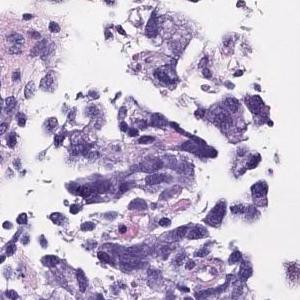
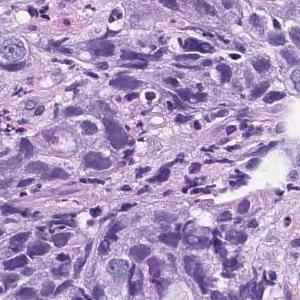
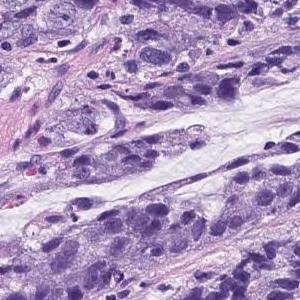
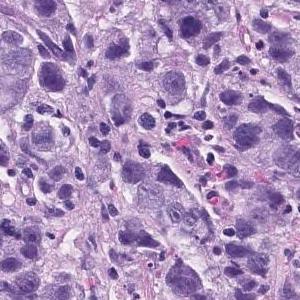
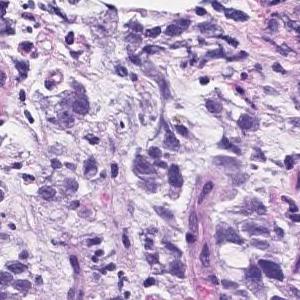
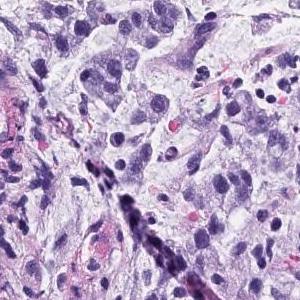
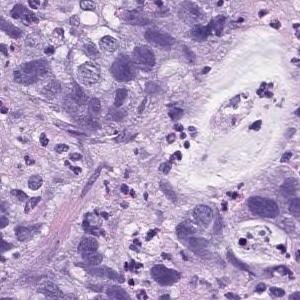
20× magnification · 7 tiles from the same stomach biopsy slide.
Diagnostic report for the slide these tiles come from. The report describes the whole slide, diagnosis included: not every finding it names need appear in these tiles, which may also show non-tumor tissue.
Atypical l cells with atypical nuclei forming solid vesicles or small irregular atypical ducts that proliferate in a complex manner. poorly differentiated adenocarcinoma, solid type, moderately differentiated tubular adenocarcinoma
"Solid type" is a category of the Japanese Classification of Gastric Carcinoma; in the WHO 2019 classification it is tubular adenocarcinoma, poorly differentiated.
